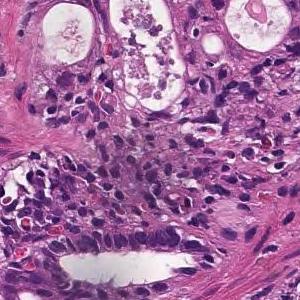
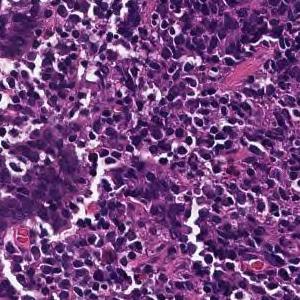
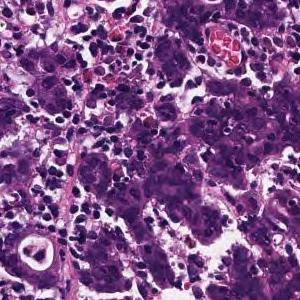
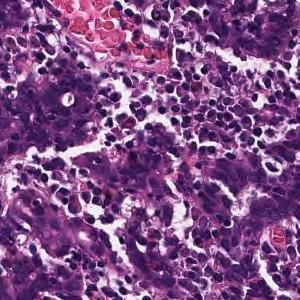
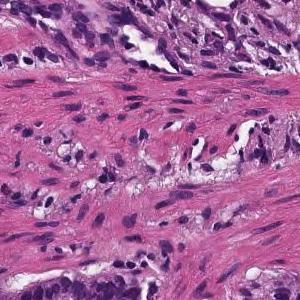
Hematoxylin and eosin stain · 5 tiles from the same stomach biopsy slide.
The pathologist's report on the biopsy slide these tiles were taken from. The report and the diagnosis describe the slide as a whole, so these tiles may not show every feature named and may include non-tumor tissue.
Tumor tissue consisting of medium-sized, cord-like or irregular glandular infiltration is observed in the superficial epithelium. Poorly differentiated adenocarcinoma, non-solid type or moderately differentiated tubular adenocarcinoma
Histological subtype: Moderately to poorly differentiated adenocarcinoma.
The term "non-solid type" comes from the Japanese Classification of Gastric Carcinoma.
